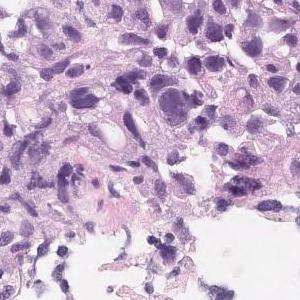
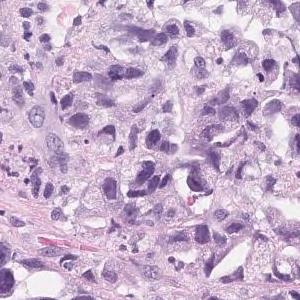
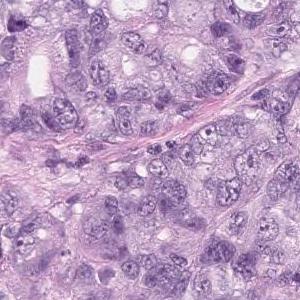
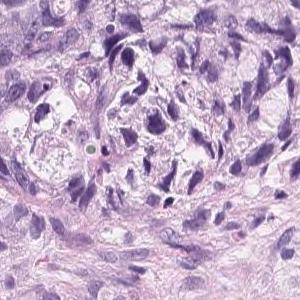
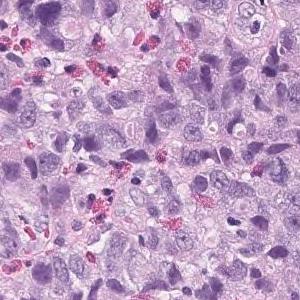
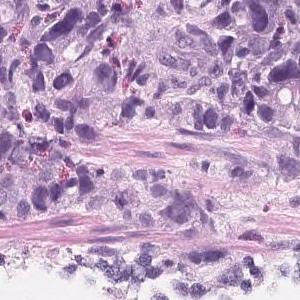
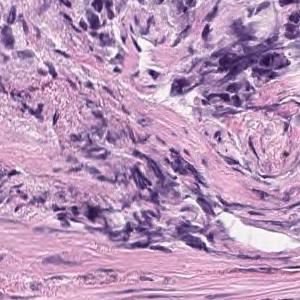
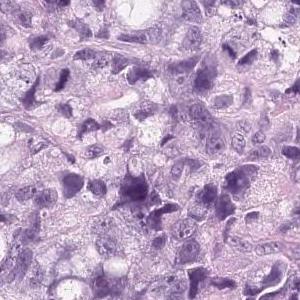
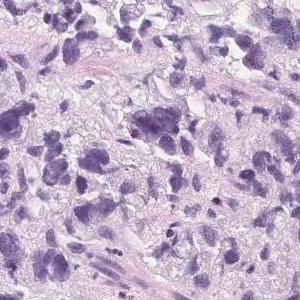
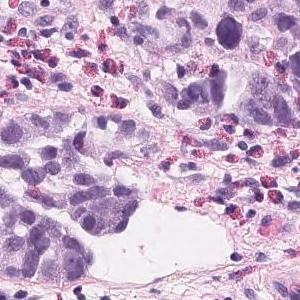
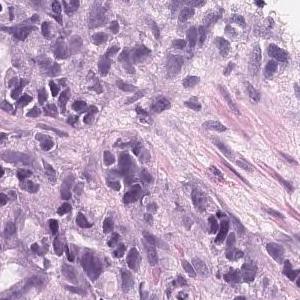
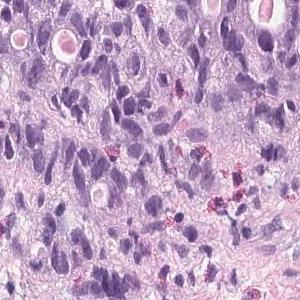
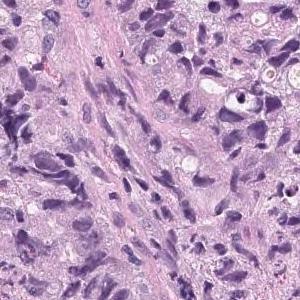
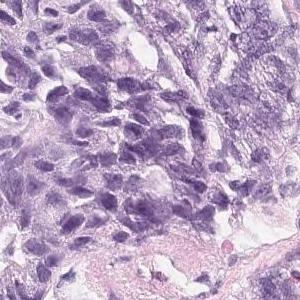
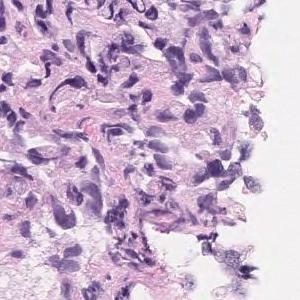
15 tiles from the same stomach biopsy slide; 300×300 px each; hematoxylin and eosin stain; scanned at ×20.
Pathology report for the biopsy slide these tiles were cut from. The findings and the diagnosis refer to the entire slide; these tiles show only part of it, possibly with non-tumor tissue, and may not show every feature named.
Tumor tissue that infiltrates and proliferates by forming small glandular cavities in the superficial layer to the submucosa or forming a mass is observed. moderately differentiated tubular adenocarcinoma
